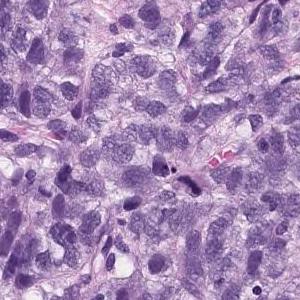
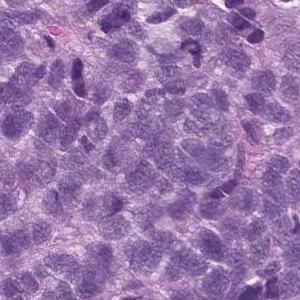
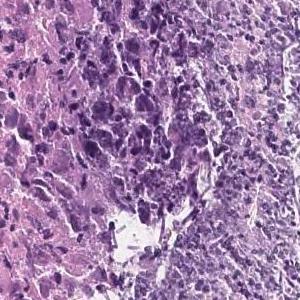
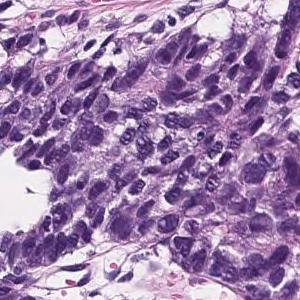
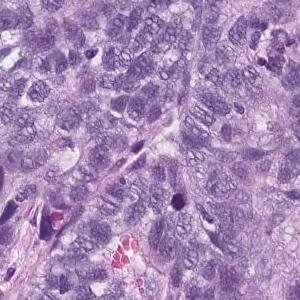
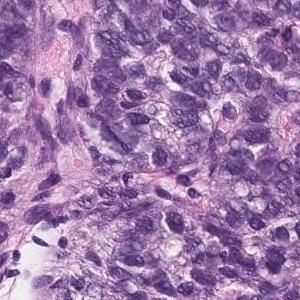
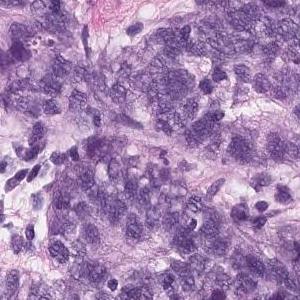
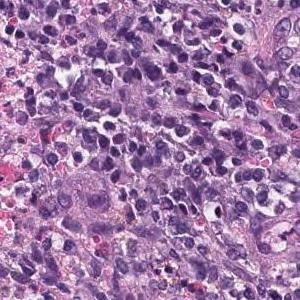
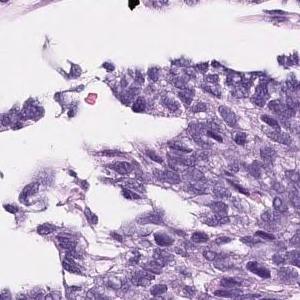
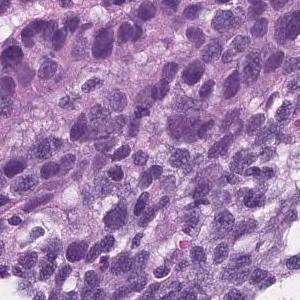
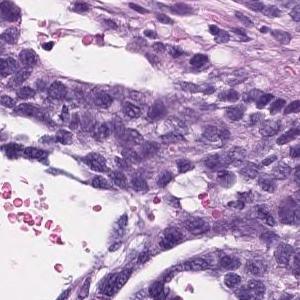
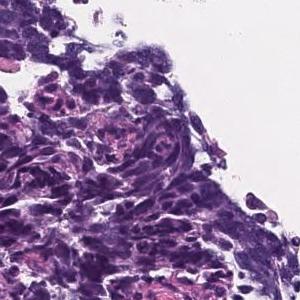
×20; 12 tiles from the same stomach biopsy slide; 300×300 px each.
Diagnostic report for the slide these tiles come from. The report describes the whole slide, diagnosis included: not every finding it names need appear in these tiles, which may also show non-tumor tissue.
Epithelial cells with swollen nuclei with atypia invasively proliferating while forming vesicles is observed. Poorly differentiated adenocarcinoma
Tumor subtype: poorly differentiated adenocarcinoma, solid type (Japanese Classification of Gastric Carcinoma). The WHO 2019 equivalent is tubular adenocarcinoma, poorly differentiated.
